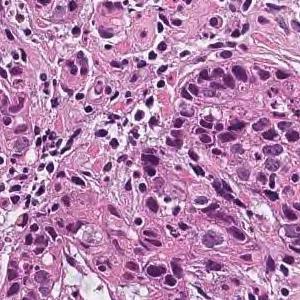
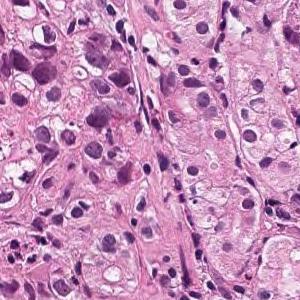
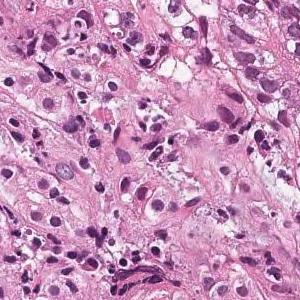
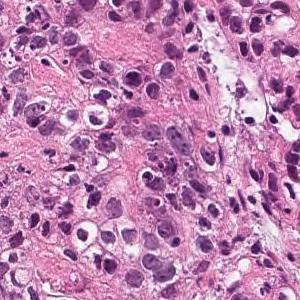
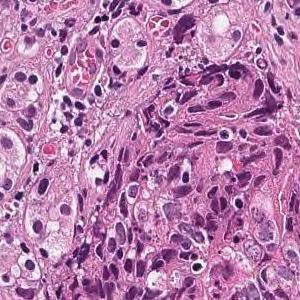
H&E stain; 5 tiles from the same stomach biopsy slide; each 300 × 300 pixels.
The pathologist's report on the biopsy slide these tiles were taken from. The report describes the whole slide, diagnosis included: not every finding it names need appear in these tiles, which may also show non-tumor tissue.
Medium to small, irregular glandular ducts are formed in the superficial epithelium, and in some cases, the glandular ducts are fused to show solid alveolar lesions and infiltrating tumor tissue is observed. Moderately to poorly differentiated adenocarcinoma.
